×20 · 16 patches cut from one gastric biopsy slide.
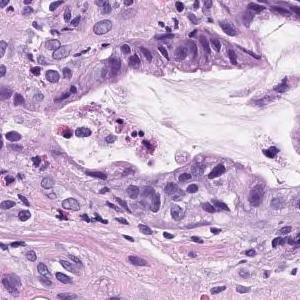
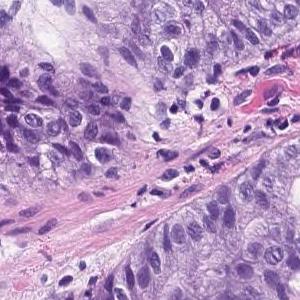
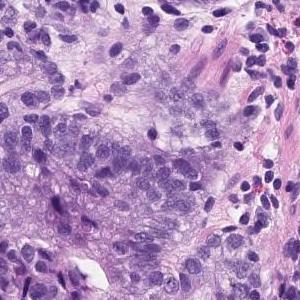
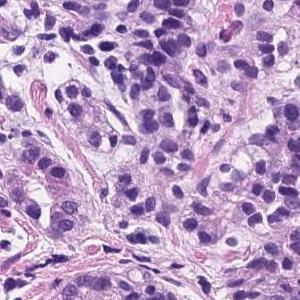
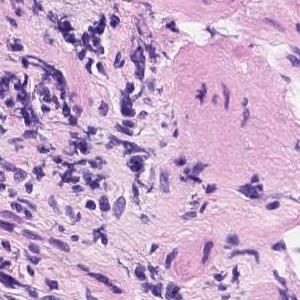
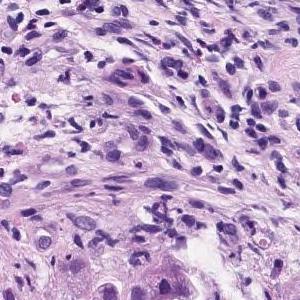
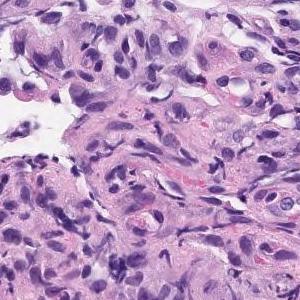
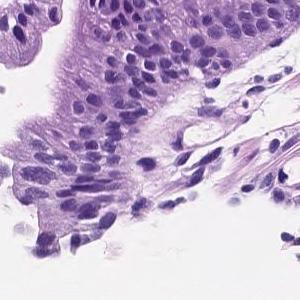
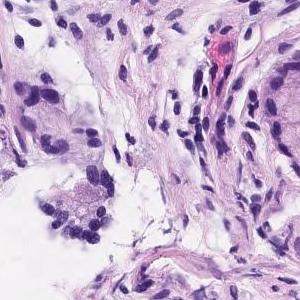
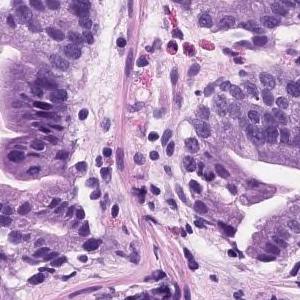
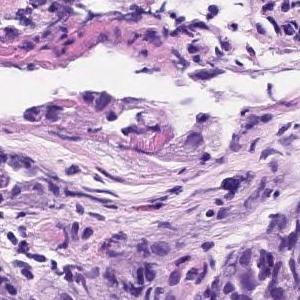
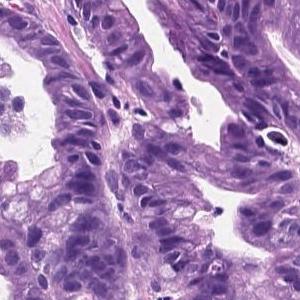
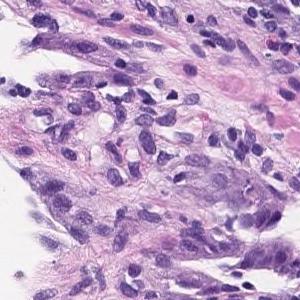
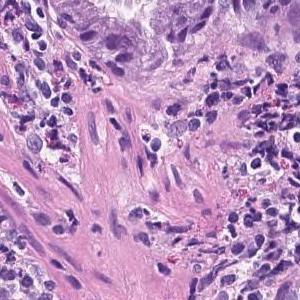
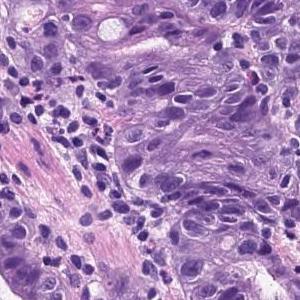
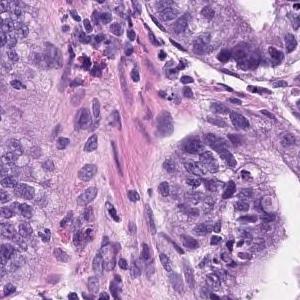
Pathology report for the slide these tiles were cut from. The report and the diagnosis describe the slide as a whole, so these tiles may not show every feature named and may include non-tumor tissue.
Tumor tissue consisting of medium-sized and irregular ducts is observed infiltrating in the superficial epithelium. Tumor cells are highly columnar, with nuclei aligned basolaterally and polarized. Well differentiated tubular adenocarcinoma.
